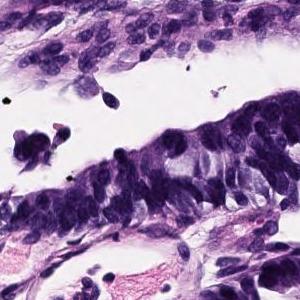
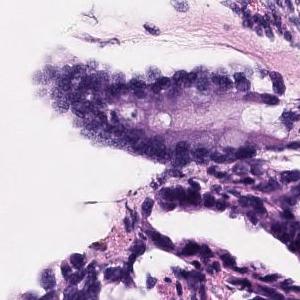
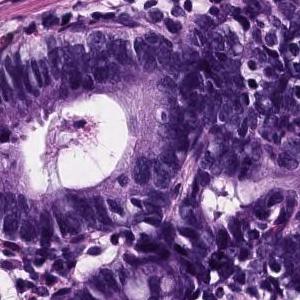
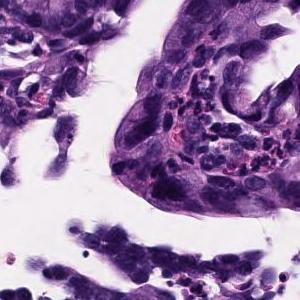
4 tiles from the same stomach biopsy slide; H&E stain.
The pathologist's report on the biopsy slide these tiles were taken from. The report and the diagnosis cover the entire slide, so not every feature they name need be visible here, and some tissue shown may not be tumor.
Atypical epithelium proliferating showing villus construction and irregular gland duct construction is observed. Moderately differentiated tubular adenocarcinoma.
